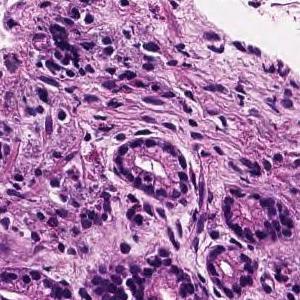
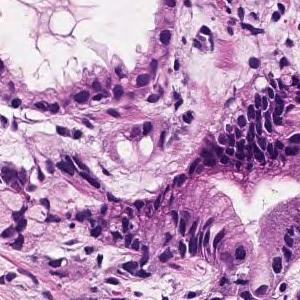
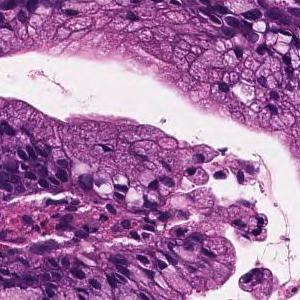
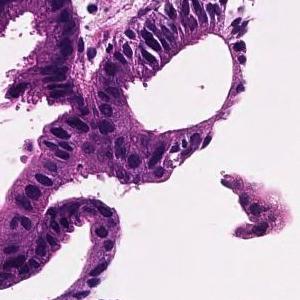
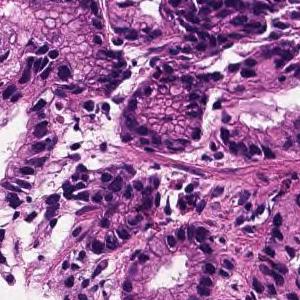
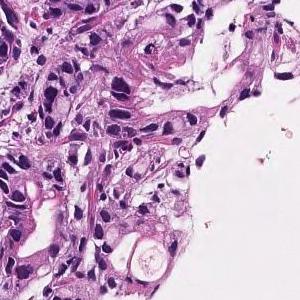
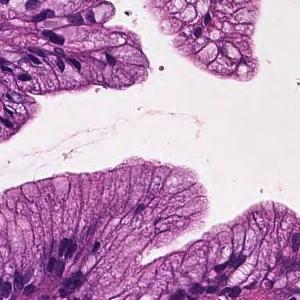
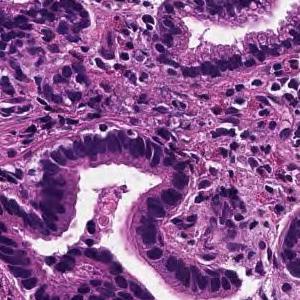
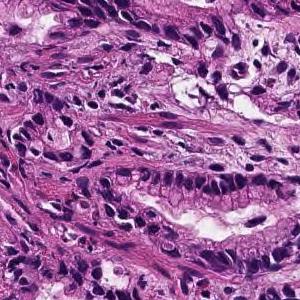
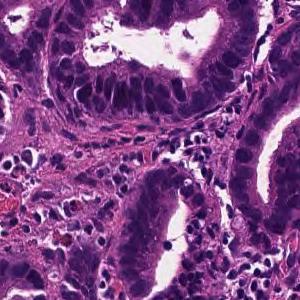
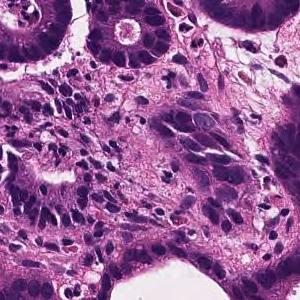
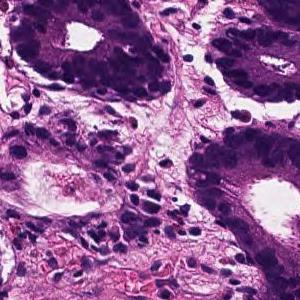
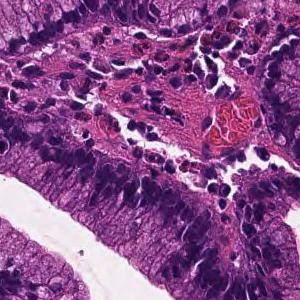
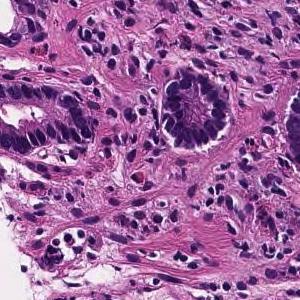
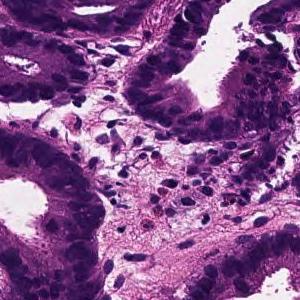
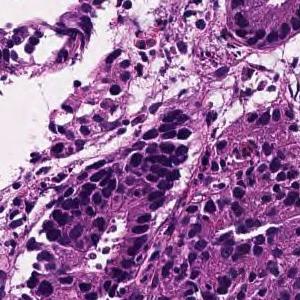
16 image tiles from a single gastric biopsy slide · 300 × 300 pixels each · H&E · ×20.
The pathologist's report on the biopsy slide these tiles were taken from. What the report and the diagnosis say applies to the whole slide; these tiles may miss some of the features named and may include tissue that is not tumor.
On the superficial epithelium, tumor tissue consisting of medium-sized and irregular glandular ducts partially fused and infiltrated is observed. Well to moderately differentiated tubular adenocarcinoma (well differentiated tubular adenocarcinoma-moderately differentiated tubular adenocarcinoma)
Classified as well to moderately differentiated tubular adenocarcinoma.
